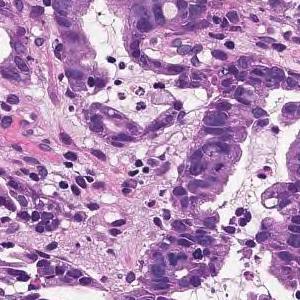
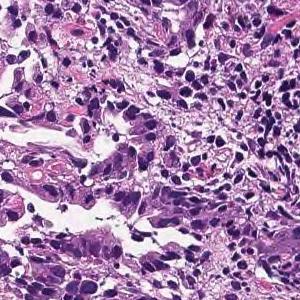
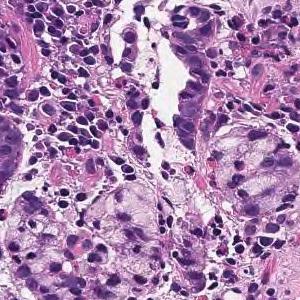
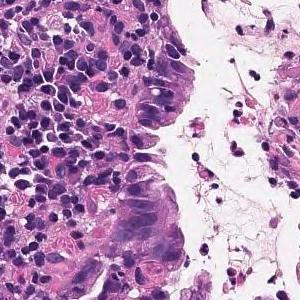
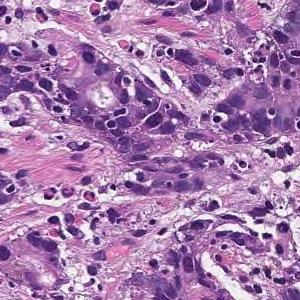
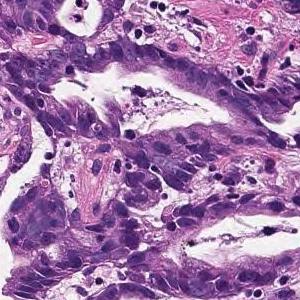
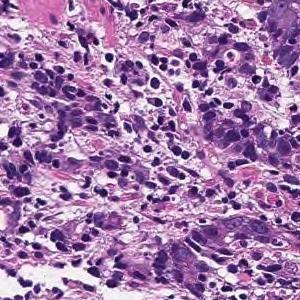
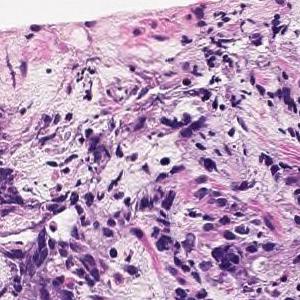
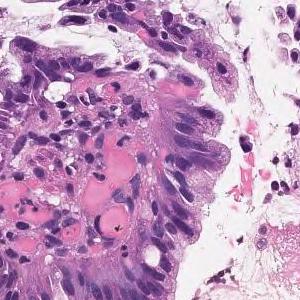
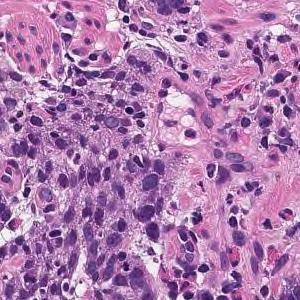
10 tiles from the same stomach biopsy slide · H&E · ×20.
The pathologist's report on the biopsy slide these tiles were taken from. The report describes the whole slide, diagnosis included: not every finding it names need appear in these tiles, which may also show non-tumor tissue.
Tumor tissue consisting of cord-like or small, irregular glandular ducts fused and infiltrated is observed in the superficial epithelium. Poorly differentiated adenocarcinoma, non-solid type
"Non-solid type" is a category of the Japanese Classification of Gastric Carcinoma.
